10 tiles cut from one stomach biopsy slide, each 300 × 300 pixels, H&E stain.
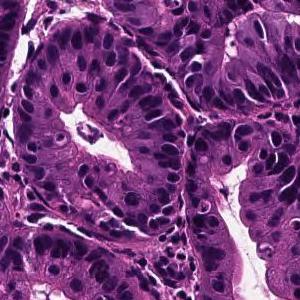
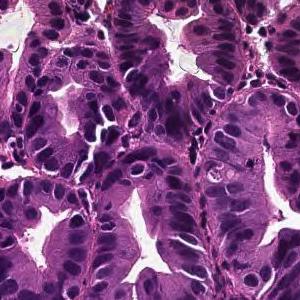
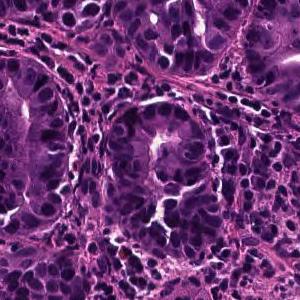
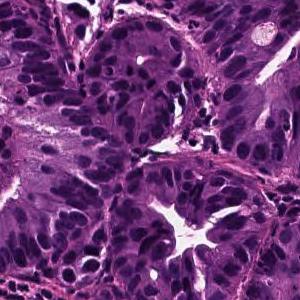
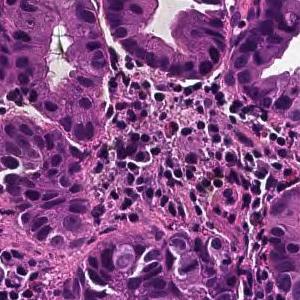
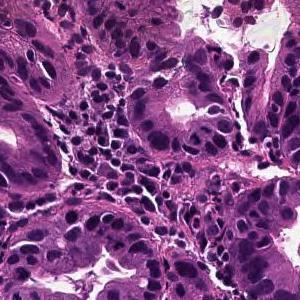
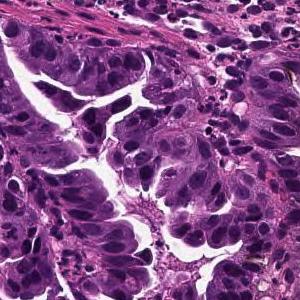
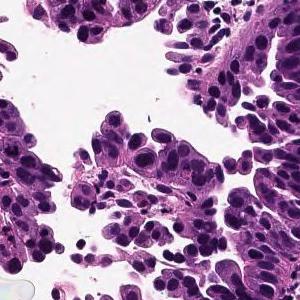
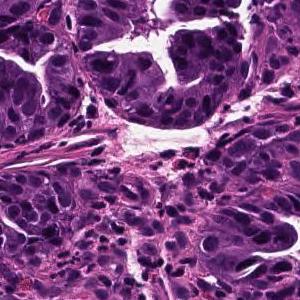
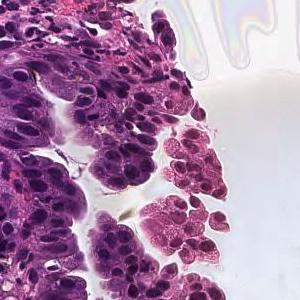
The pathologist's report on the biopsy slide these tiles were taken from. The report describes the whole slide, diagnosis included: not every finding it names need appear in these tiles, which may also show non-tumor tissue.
Tumor cells are large, highly columnar, large club-shaped nuclei, and are associated with chromatin aggregation. Papillary adenocarcinoma.
